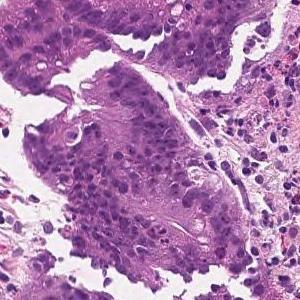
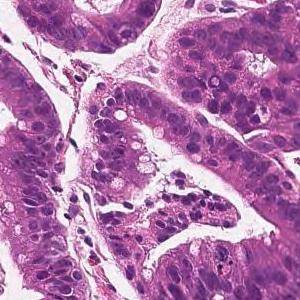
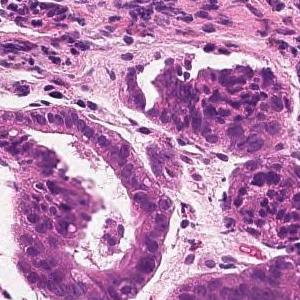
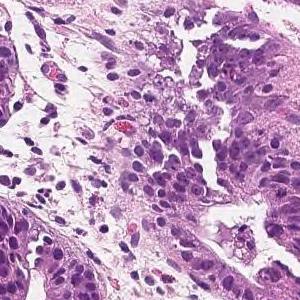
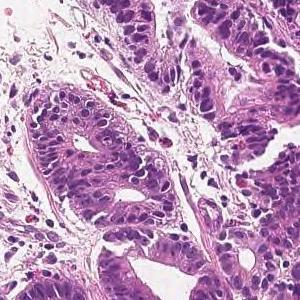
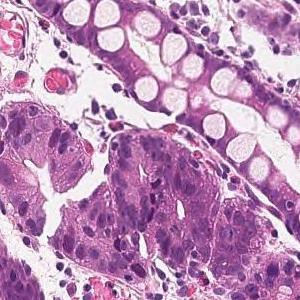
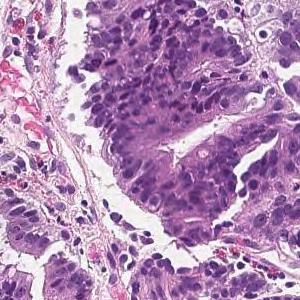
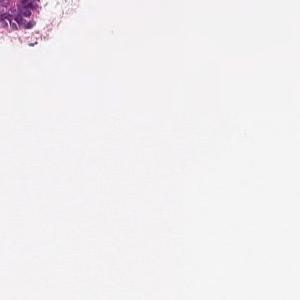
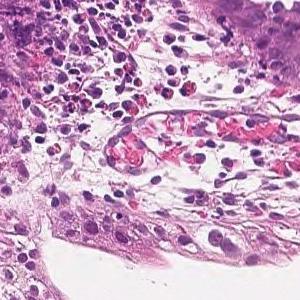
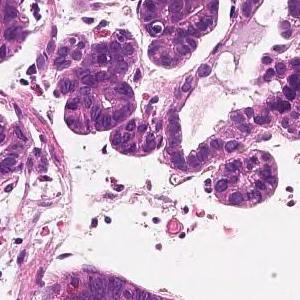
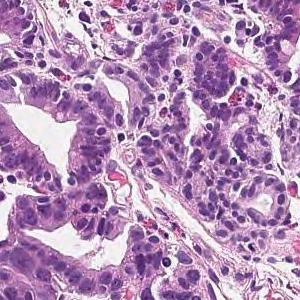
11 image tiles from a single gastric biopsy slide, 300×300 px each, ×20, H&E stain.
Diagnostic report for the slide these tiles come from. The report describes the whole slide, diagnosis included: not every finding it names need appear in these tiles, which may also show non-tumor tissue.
From the superficial epithelium to the muscularis mucosae, tumor tissue consisting of medium-sized and irregular glandular ducts infiltrating is observed. Well differentiated tubular adenocarcinoma
